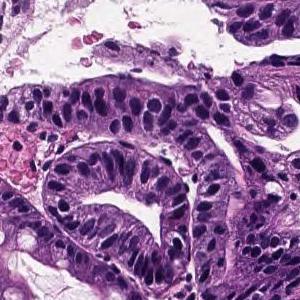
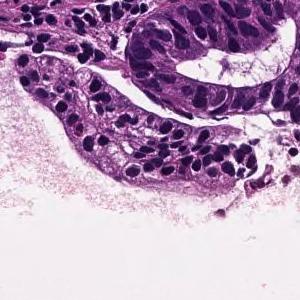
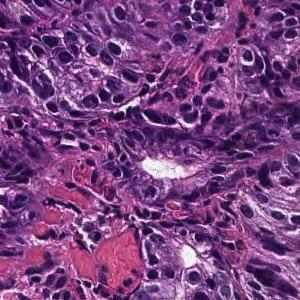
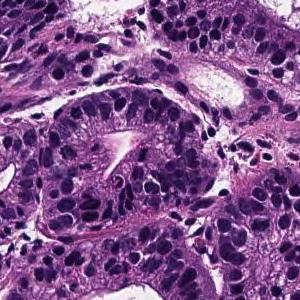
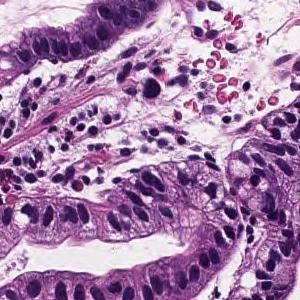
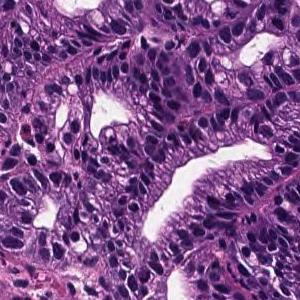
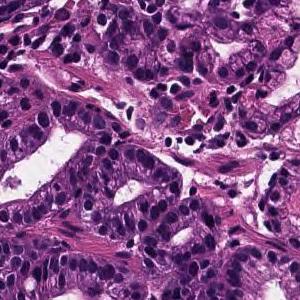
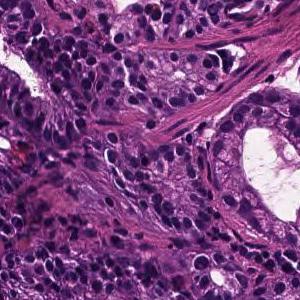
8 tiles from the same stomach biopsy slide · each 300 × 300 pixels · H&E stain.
Pathology report for the slide these tiles were cut from. Both the report and the diagnosis are for the whole slide: these tiles need not show every feature named, and some of the tissue shown may not be tumor.
On the superficial epithelium, tumor tissue that infiltrates by forming medium-sized papillary or small irregular ducts is observed. Papillary adenocarcinoma
